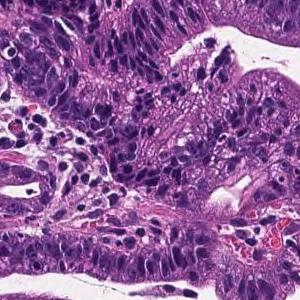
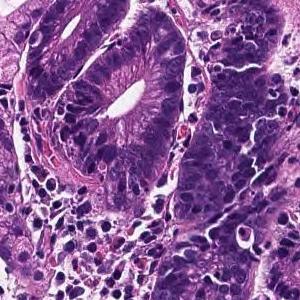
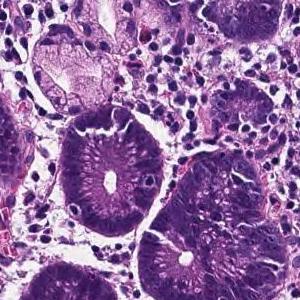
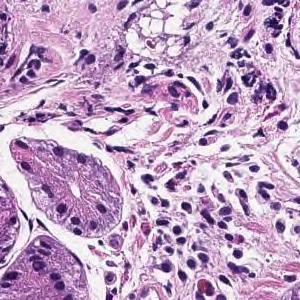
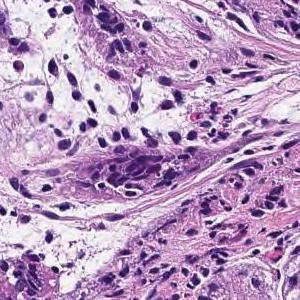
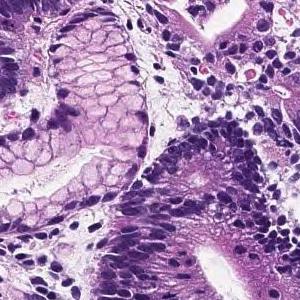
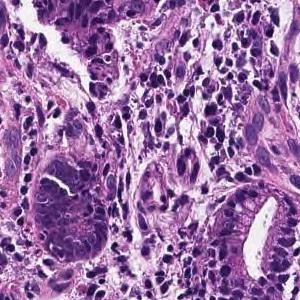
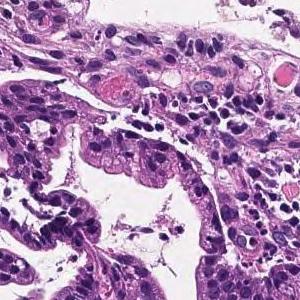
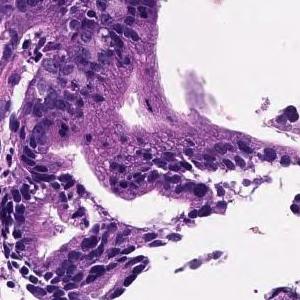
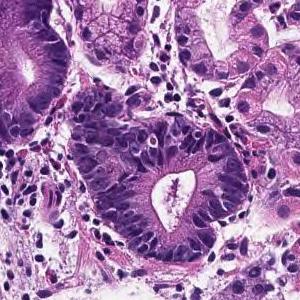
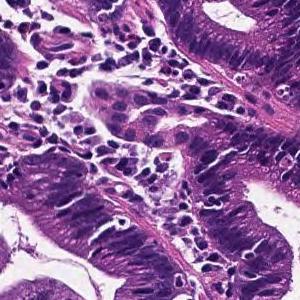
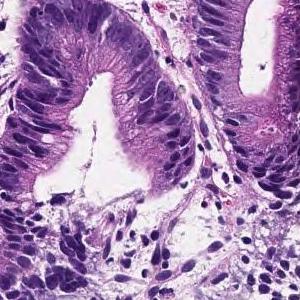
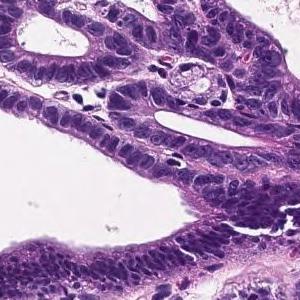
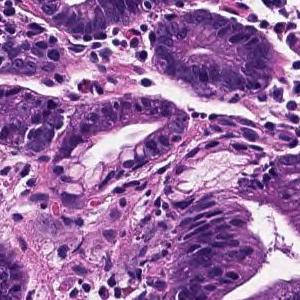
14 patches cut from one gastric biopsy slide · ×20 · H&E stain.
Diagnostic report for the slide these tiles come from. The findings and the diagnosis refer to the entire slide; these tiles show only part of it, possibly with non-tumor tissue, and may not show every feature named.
From the superficial epithelium to the muscularis mucosae, tumor tissue consisting of medium-sized and irregular glandular ducts infiltrating is observed. Well differentiated tubular adenocarcinoma
